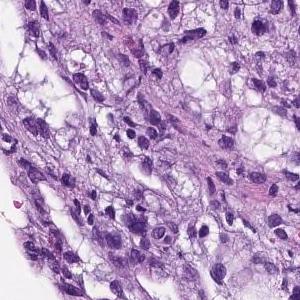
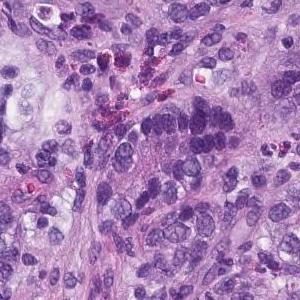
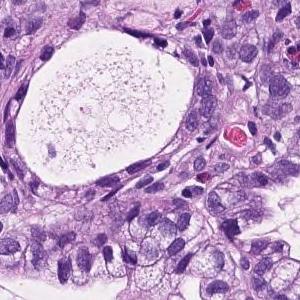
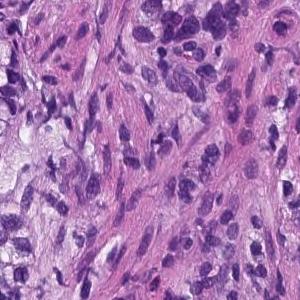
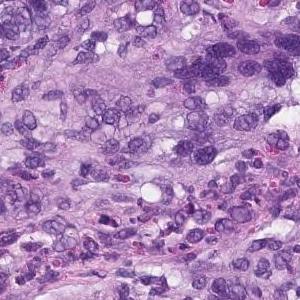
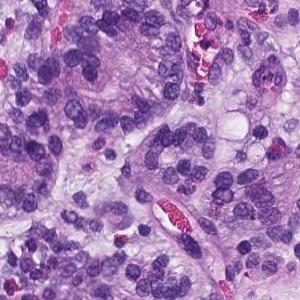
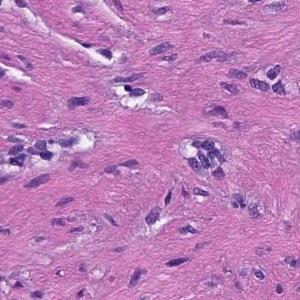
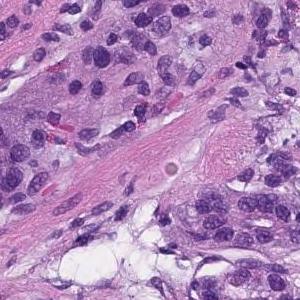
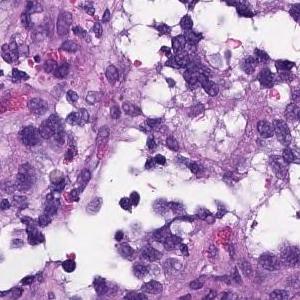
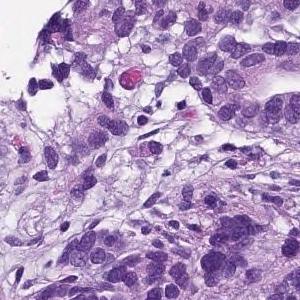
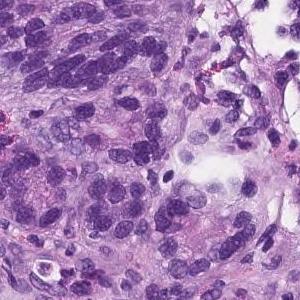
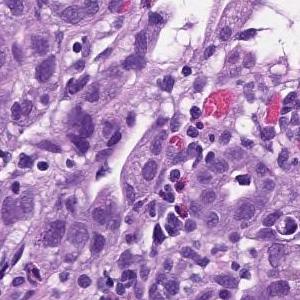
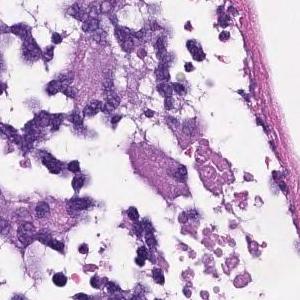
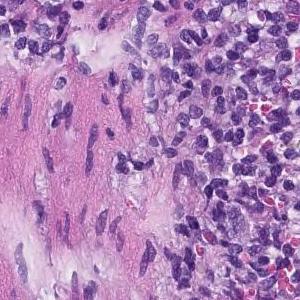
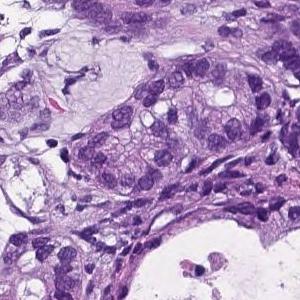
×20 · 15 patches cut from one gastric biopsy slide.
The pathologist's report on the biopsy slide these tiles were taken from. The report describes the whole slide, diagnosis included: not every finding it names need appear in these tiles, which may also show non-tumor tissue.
From the superficial epithelium to the muscularis mucosae, tumor tissue consisting of medium-sized and irregular glandular ducts infiltrating is observed. Well differentiated tubular adenocarcinoma
